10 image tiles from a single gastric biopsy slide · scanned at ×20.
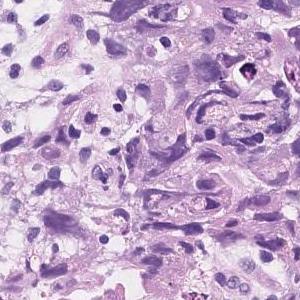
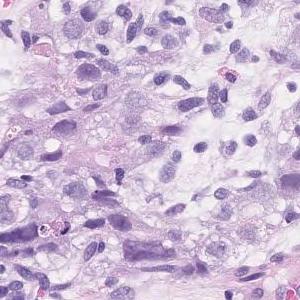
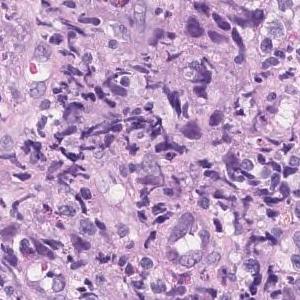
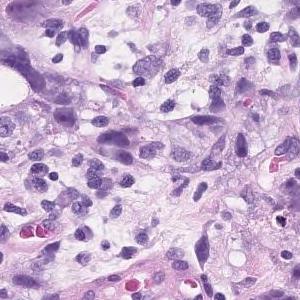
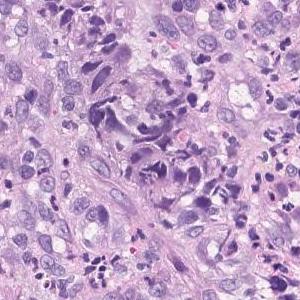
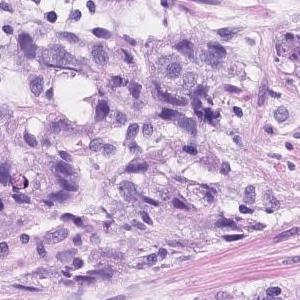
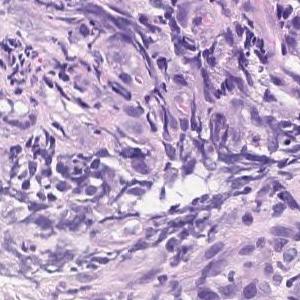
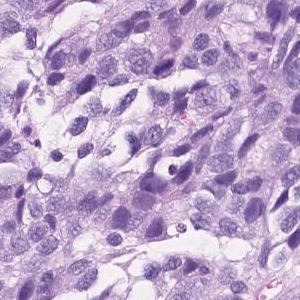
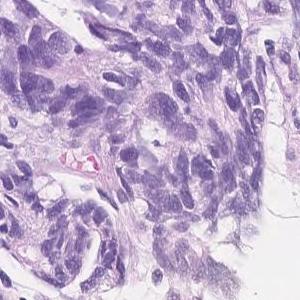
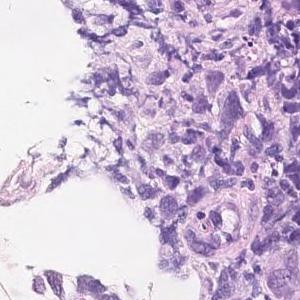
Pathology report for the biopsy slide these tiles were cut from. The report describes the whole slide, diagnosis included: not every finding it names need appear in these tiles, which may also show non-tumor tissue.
Atypical epithelial cells infiltrating and proliferating diffusely or while forming vesicles is observed. Poorly differentiated adenocarcinoma (poorly differentiated adenocarcinoma, solid type moderately differentiated tubular adenocarcinoma)
Labeled in the dataset as poorly differentiated adenocarcinoma, solid type, a category of the Japanese Classification of Gastric Carcinoma; in the WHO 2019 classification it is tubular adenocarcinoma, poorly differentiated.
